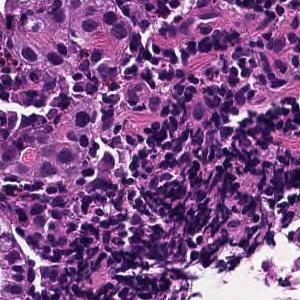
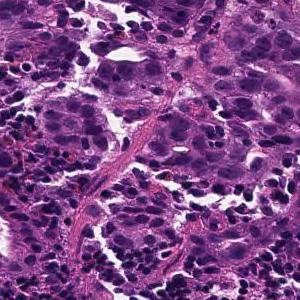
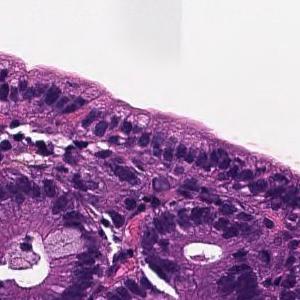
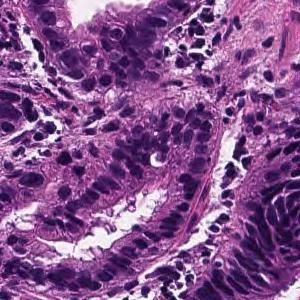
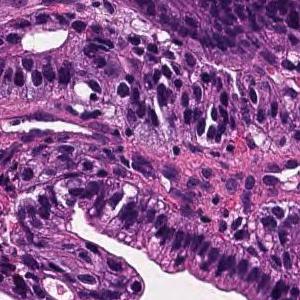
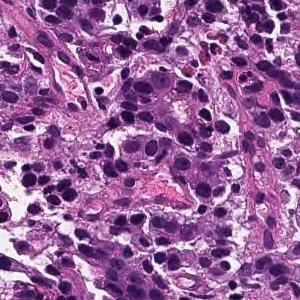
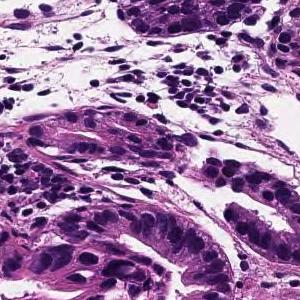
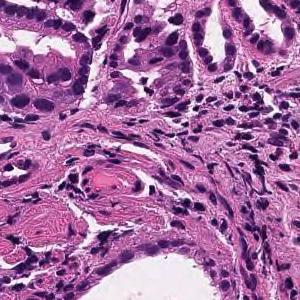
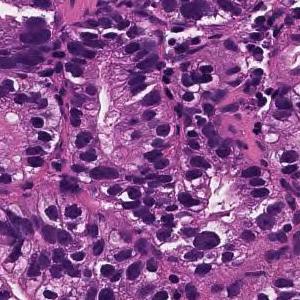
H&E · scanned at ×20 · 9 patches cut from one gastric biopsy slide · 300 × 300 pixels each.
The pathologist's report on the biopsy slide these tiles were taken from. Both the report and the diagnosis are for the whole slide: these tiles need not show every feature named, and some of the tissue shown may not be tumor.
From the superficial epithelium to the muscularis mucosae, tumor tissue consisting of medium-sized and irregular glandular ducts infiltrating is observed. Well differentiated tubular adenocarcinoma
